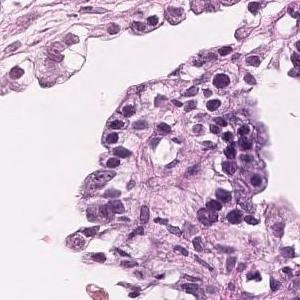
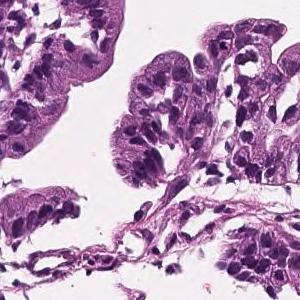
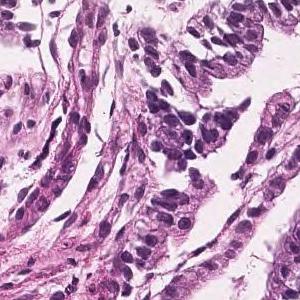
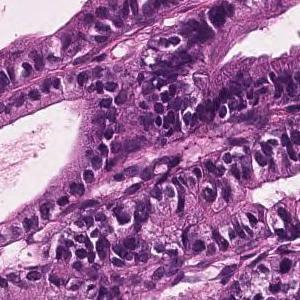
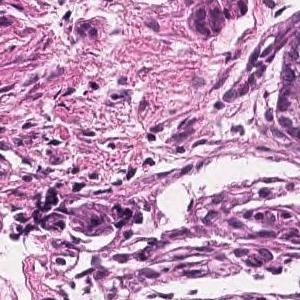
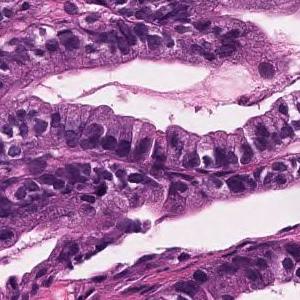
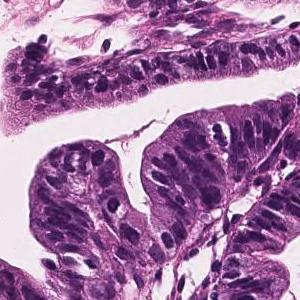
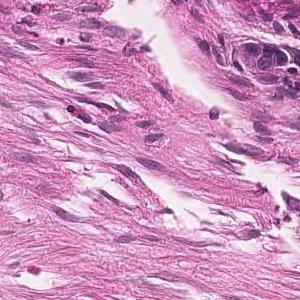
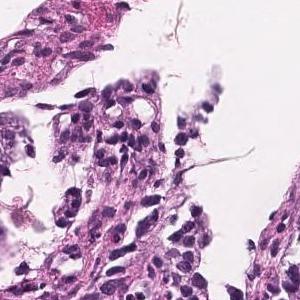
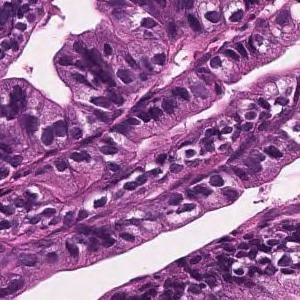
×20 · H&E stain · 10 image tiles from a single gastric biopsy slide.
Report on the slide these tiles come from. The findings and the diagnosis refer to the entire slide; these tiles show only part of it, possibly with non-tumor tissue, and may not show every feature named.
Tumor cells are large, highly columnar, large club-shaped nuclei, and are associated with chromatin aggregation. Papillary adenocarcinoma.
